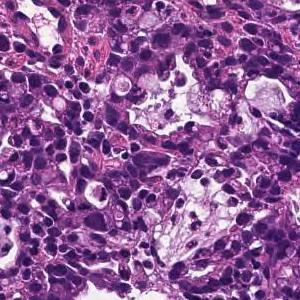
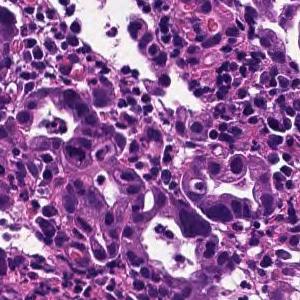
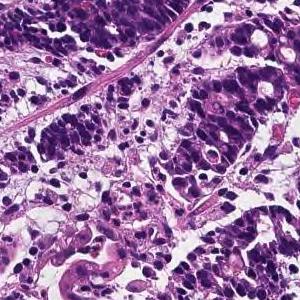
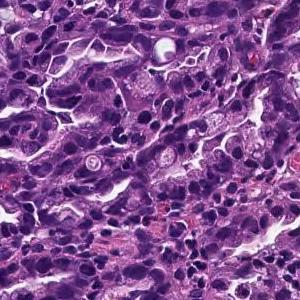
H&E · 4 tiles cut from one stomach biopsy slide · each 300 × 300 pixels.
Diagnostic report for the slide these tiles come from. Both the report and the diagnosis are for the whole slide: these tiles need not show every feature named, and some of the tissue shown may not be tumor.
In the superficial epithelium, tumor tissue that invades by forming medium-sized to small, irregular ducts is observed. moderately differentiated tubular adenocarcinoma.
